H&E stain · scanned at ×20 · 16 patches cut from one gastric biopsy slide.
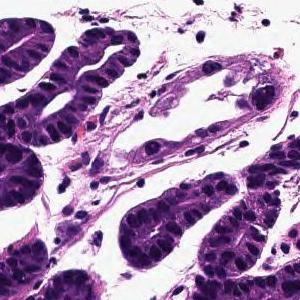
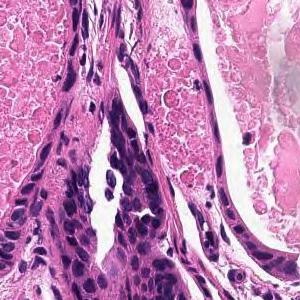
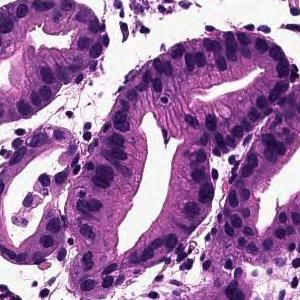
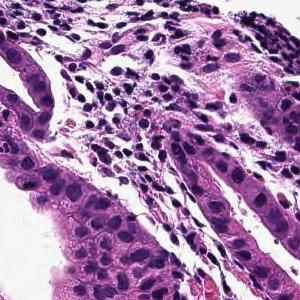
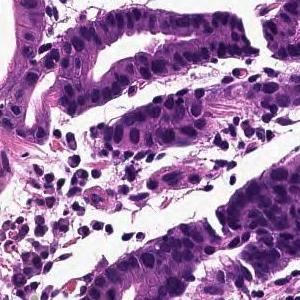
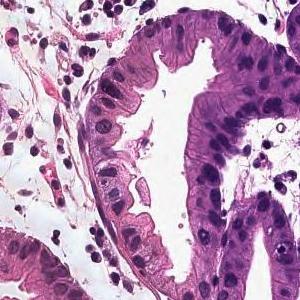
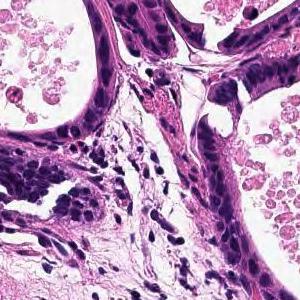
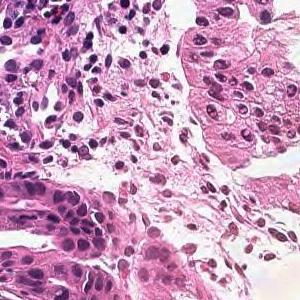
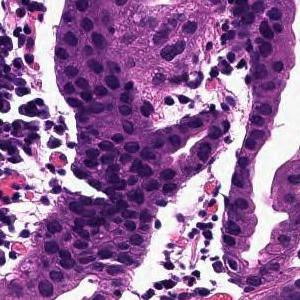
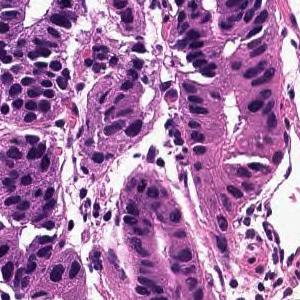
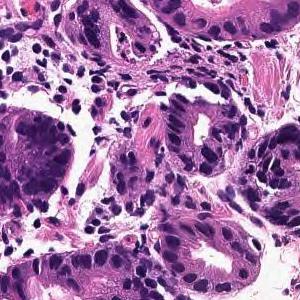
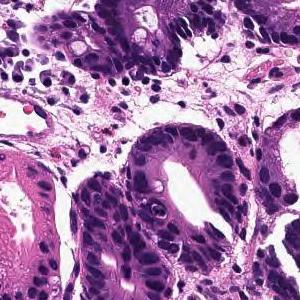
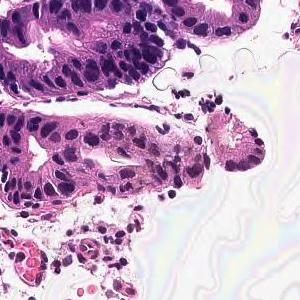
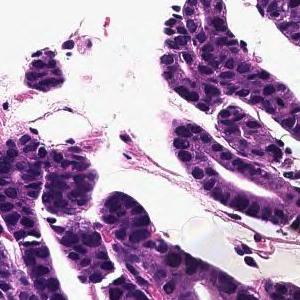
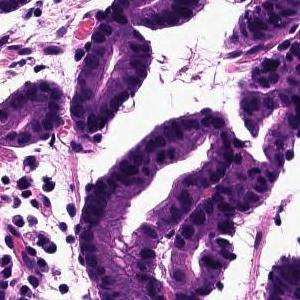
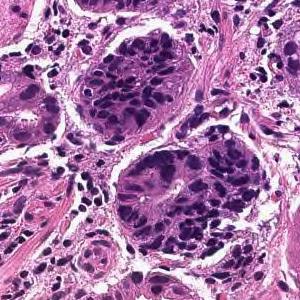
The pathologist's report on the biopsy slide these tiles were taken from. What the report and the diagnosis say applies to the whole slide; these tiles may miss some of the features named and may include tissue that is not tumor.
From the superficial epithelium to the muscularis mucosae, tumor tissue consisting of medium-sized and irregular glandular ducts infiltrating is observed. Well differentiated tubular adenocarcinoma
